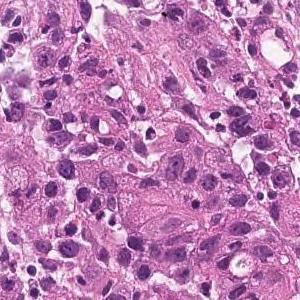
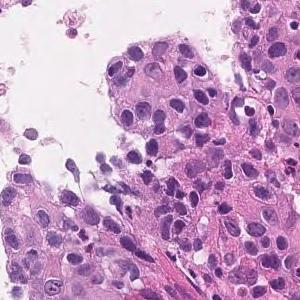
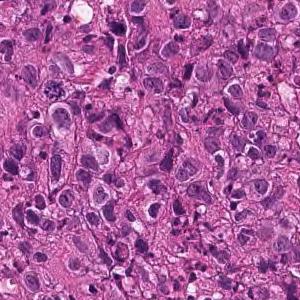
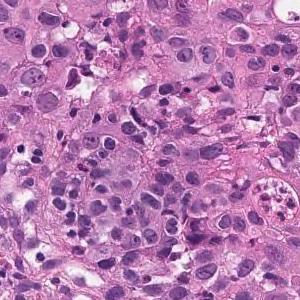
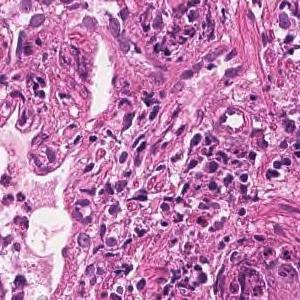
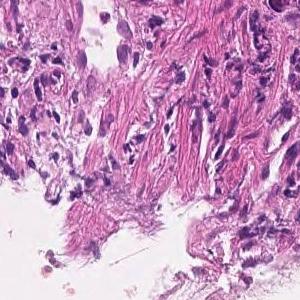
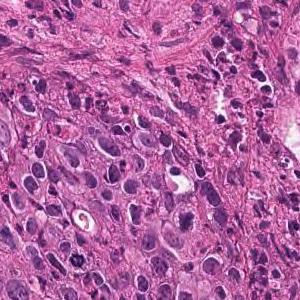
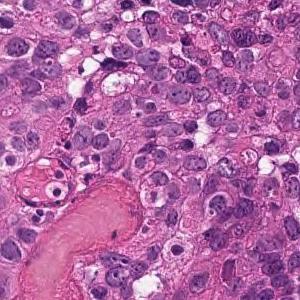
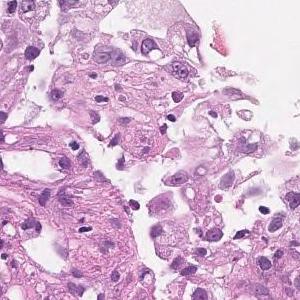
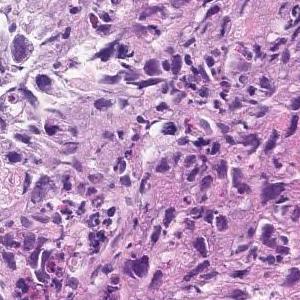
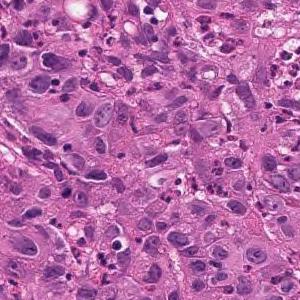
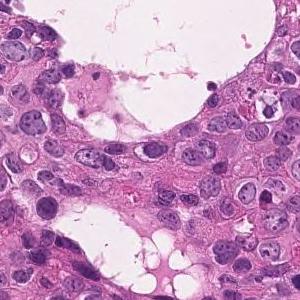
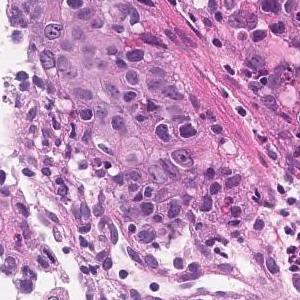
13 patches cut from one gastric biopsy slide; 300×300 px each; hematoxylin and eosin stain; ×20.
Diagnostic report for the slide these tiles come from. The report describes the whole slide, diagnosis included: not every finding it names need appear in these tiles, which may also show non-tumor tissue.
The superficial epithelium shows a large sheet-like shape, and some tumor tissue infiltrates with small irregular ducts. Poorly differentiated adenocarcinoma, solid-type
Tumor subtype: poorly differentiated adenocarcinoma, solid type (Japanese Classification of Gastric Carcinoma). The WHO 2019 equivalent is tubular adenocarcinoma, poorly differentiated.
